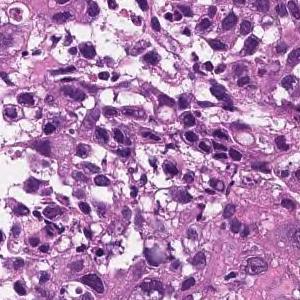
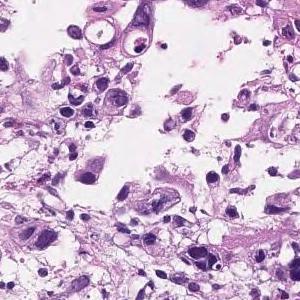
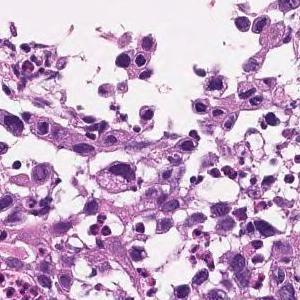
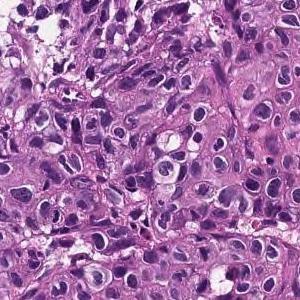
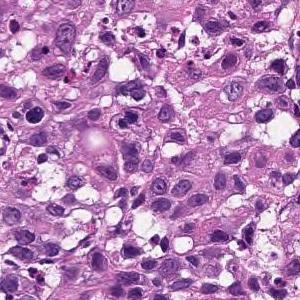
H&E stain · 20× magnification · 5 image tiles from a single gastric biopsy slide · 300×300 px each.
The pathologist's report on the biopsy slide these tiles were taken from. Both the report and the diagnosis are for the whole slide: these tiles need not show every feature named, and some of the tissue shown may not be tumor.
The superficial epithelium shows a large sheet-like shape, and some tumor tissue infiltrates with small irregular ducts. Poorly differentiated adenocarcinoma, solid-type
Histologic type: Poorly differentiated adenocarcinoma, solid type, a category of the Japanese Classification of Gastric Carcinoma; in the WHO 2019 classification it is tubular adenocarcinoma, poorly differentiated.
